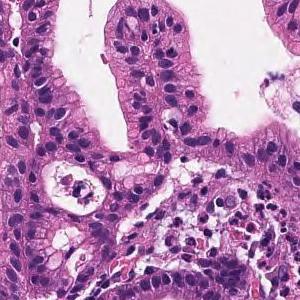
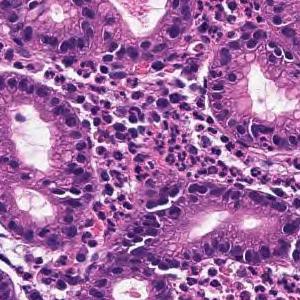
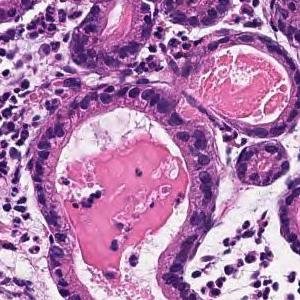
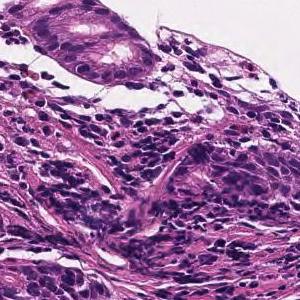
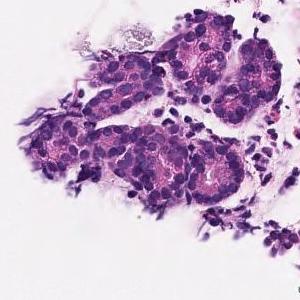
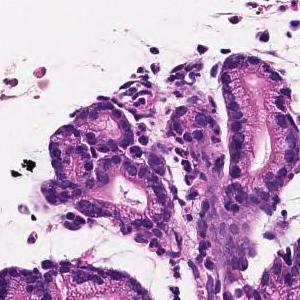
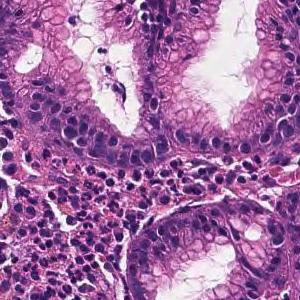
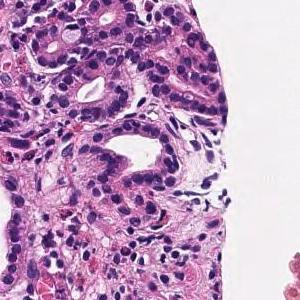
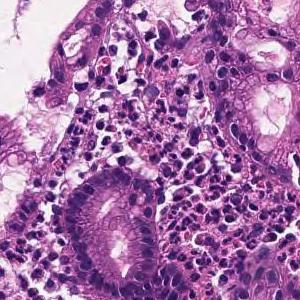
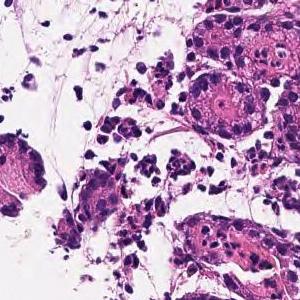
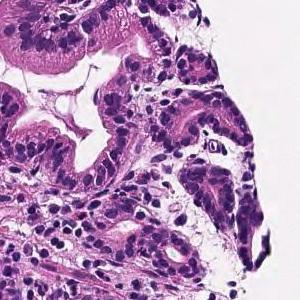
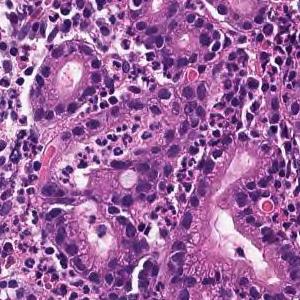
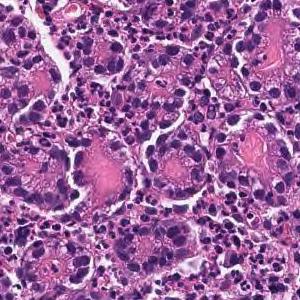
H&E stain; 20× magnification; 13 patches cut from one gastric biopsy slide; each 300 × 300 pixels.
Diagnostic report for the slide these tiles come from. What the report and the diagnosis say applies to the whole slide; these tiles may miss some of the features named and may include tissue that is not tumor.
Tumor tissue infiltrated and proliferated with small to medium-sized irregular tubules is observed in the superficial epithelium. Well differentiated tubular adenocarcinoma
